15 tiles cut from one stomach biopsy slide, 300×300 px each.
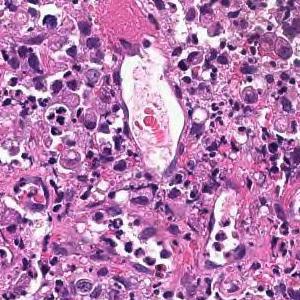
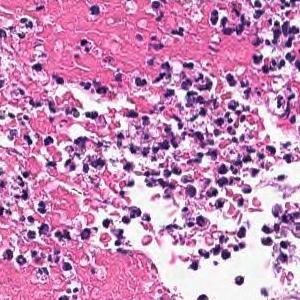
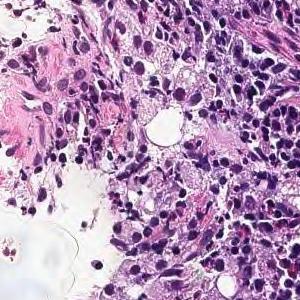
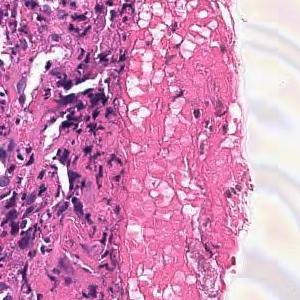
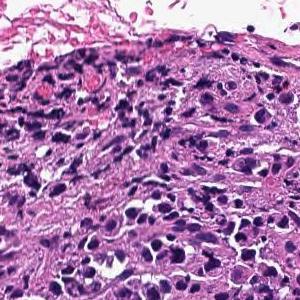
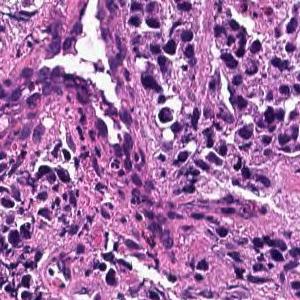
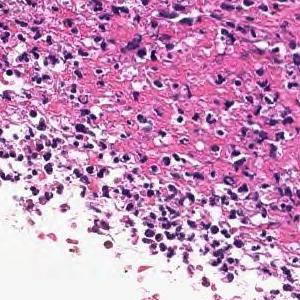
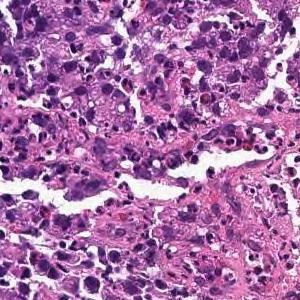
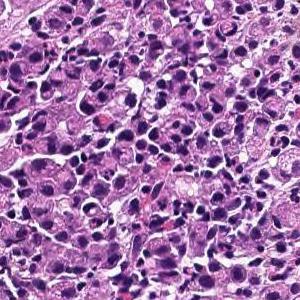
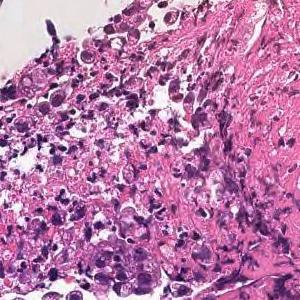
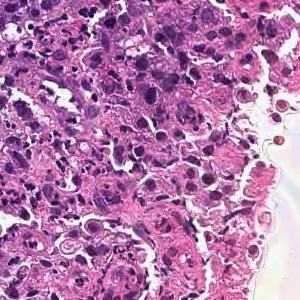
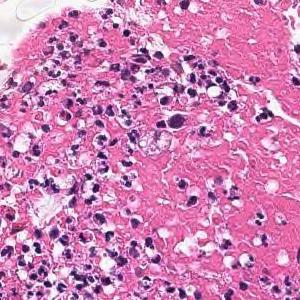
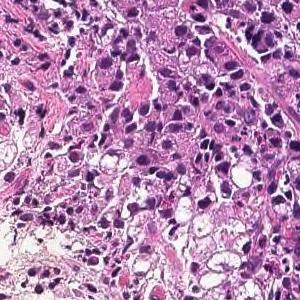
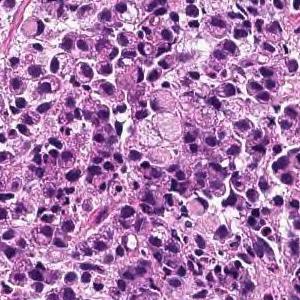
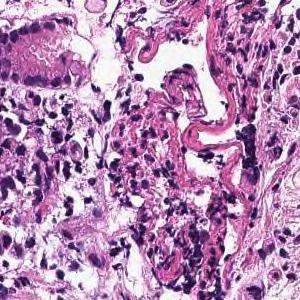
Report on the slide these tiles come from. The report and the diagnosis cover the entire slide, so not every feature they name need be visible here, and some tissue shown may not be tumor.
Tumor tissue consisting of diffusely infiltrated large atypical epithelial cells or signet ring atypical cells is observed in the superficial epithelium. Poorly differentiated adenocarcinoma, solid-type
Histological subtype: Poorly differentiated adenocarcinoma, solid type, a category of the Japanese Classification of Gastric Carcinoma; in the WHO 2019 classification it is tubular adenocarcinoma, poorly differentiated.
